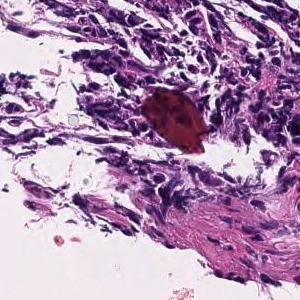
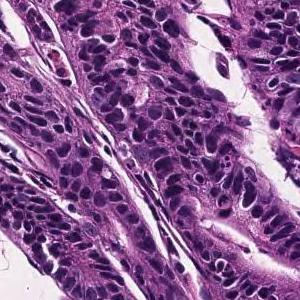
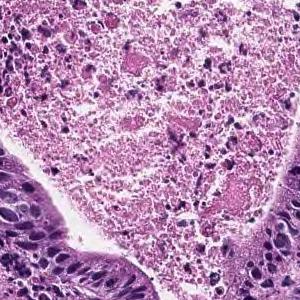
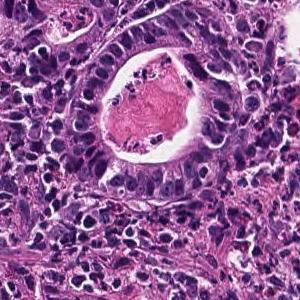
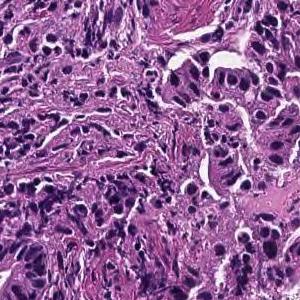
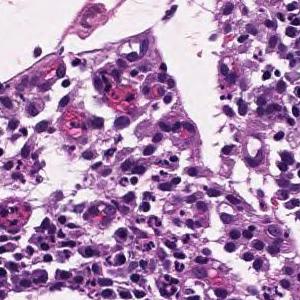
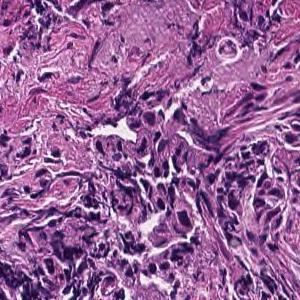
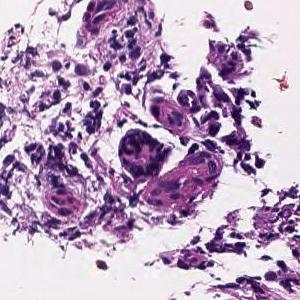
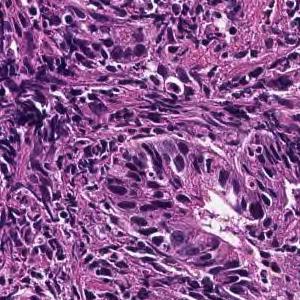
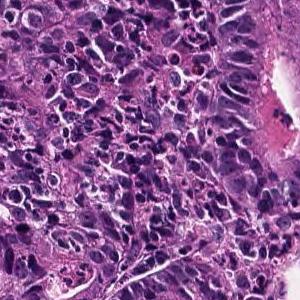
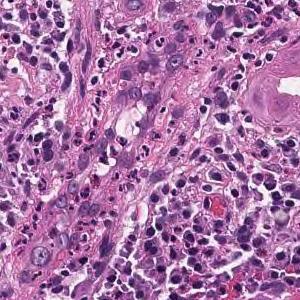
11 tiles from the same stomach biopsy slide; 300×300 px each; H&E stain.
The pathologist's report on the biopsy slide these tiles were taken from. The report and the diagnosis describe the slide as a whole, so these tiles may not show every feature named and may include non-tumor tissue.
On the superficial epithelium, tumor tissue consisting of large, irregular glandular ducts partially fused and infiltrated is observed. Well to moderately differentiated tubular adenocarcinoma (well differentiated tubular adenocarcinoma, moderately differentiated tubular adenocarcinoma)
Histologic type: Well to moderately differentiated tubular adenocarcinoma.
